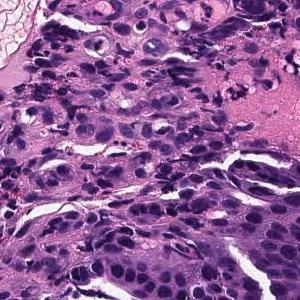
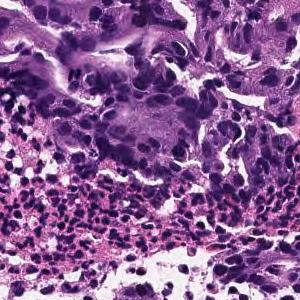
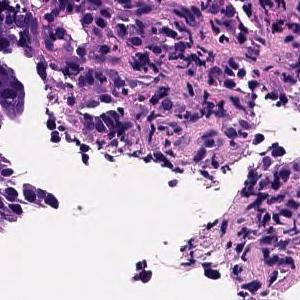
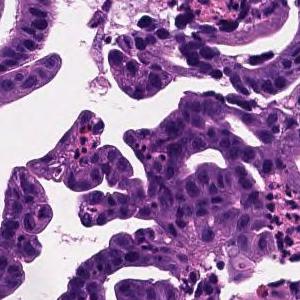
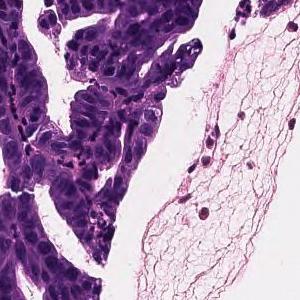
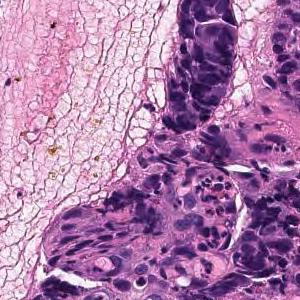
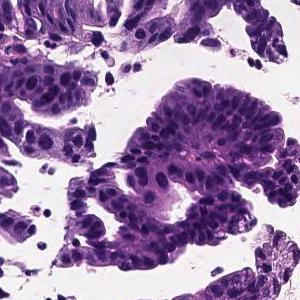
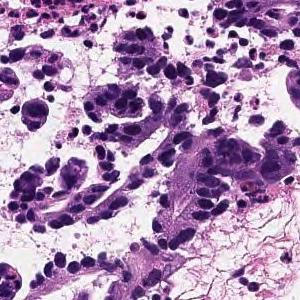
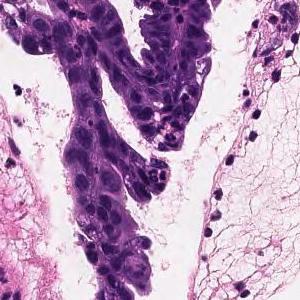
9 image tiles from a single gastric biopsy slide · ×20.
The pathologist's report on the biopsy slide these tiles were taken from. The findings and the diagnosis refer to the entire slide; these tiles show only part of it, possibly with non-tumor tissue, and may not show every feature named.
Tumor cells are large, highly columnar, large club-shaped nuclei, and are associated with chromatin aggregation. Papillary adenocarcinoma.
